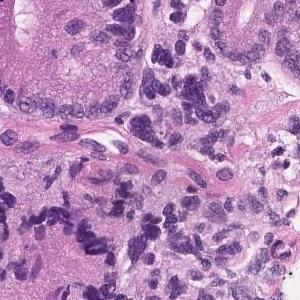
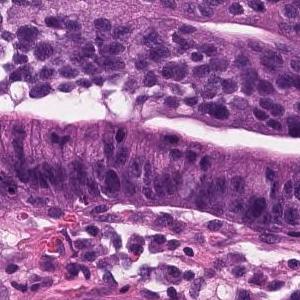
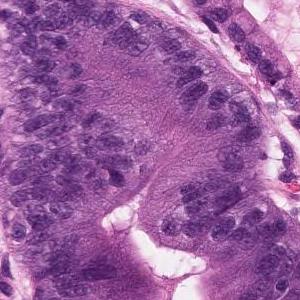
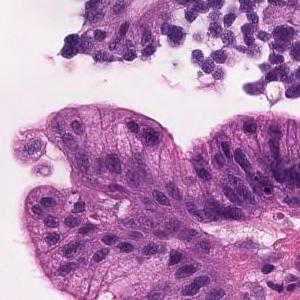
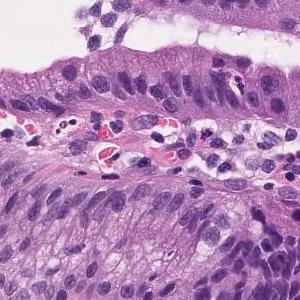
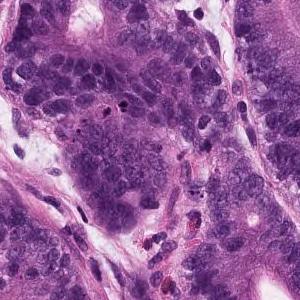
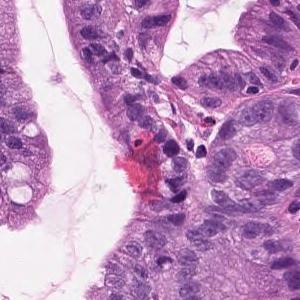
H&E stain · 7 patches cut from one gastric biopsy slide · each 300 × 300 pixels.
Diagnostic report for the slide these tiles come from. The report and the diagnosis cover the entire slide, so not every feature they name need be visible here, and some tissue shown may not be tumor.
On the superficial epithelium, tumor tissue consisting of large, irregular glandular ducts partially fused and infiltrated is observed. Well to moderately differentiated tubular adenocarcinoma (well differentiated tubular adenocarcinoma, moderately differentiated tubular adenocarcinoma)
Histological subtype: Well to moderately differentiated tubular adenocarcinoma.
